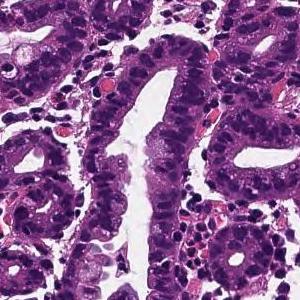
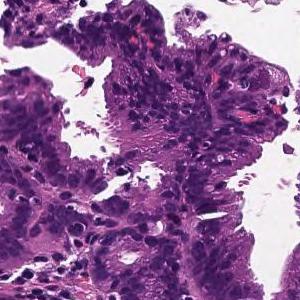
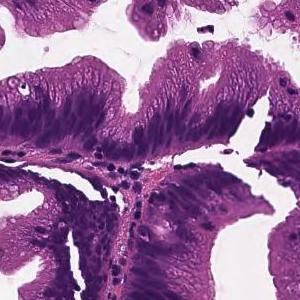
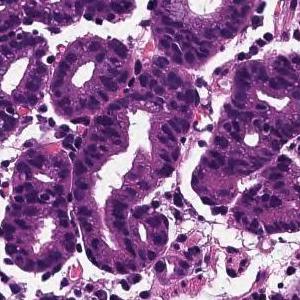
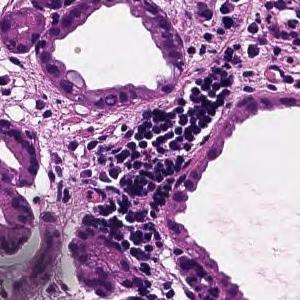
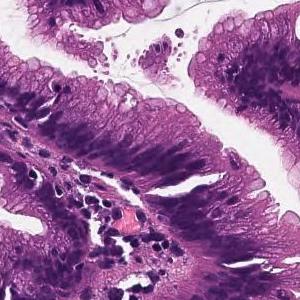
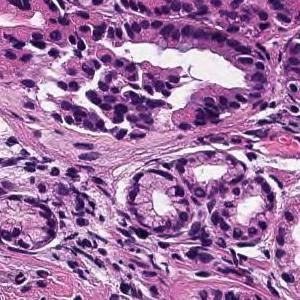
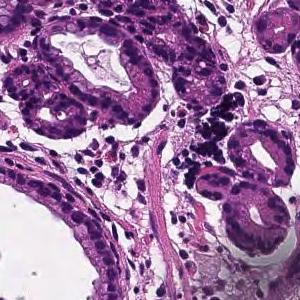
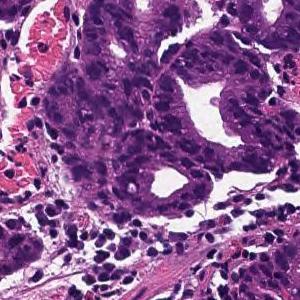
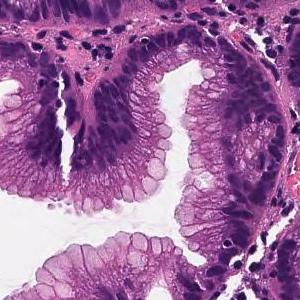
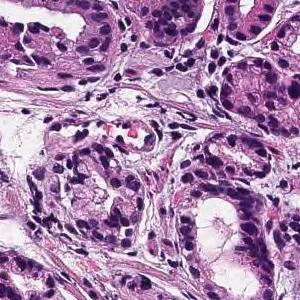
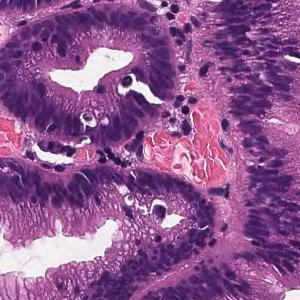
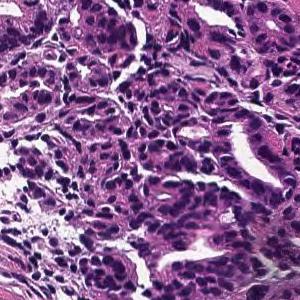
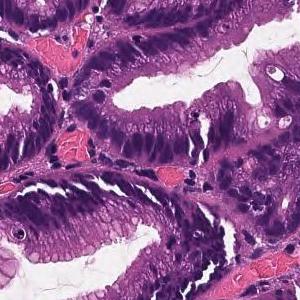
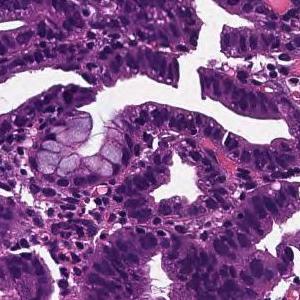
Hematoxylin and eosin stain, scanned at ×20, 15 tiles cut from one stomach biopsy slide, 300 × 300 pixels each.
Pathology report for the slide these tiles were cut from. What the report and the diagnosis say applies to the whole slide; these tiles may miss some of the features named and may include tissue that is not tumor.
Cells with elliptical or atypical nuclei form dense ducts with relatively clear growth. Well differentiated tubular adenocarcinoma
